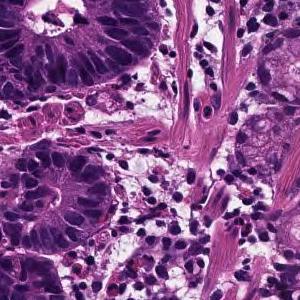
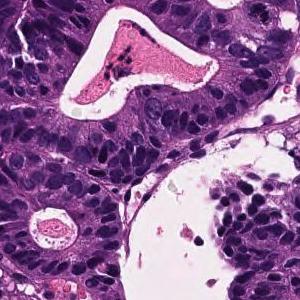
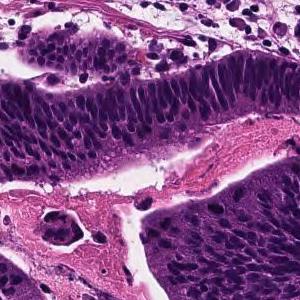
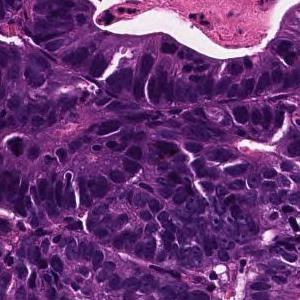
4 tiles cut from one stomach biopsy slide · each 300 × 300 pixels · H&E · 20× magnification.
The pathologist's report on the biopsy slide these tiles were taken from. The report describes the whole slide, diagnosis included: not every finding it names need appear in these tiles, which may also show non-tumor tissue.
In the superficial epithelium, tumor tissue that invades by forming medium-sized to small, irregular ducts is observed. moderately differentiated tubular adenocarcinoma.
